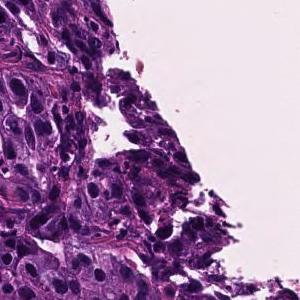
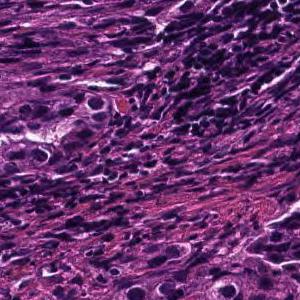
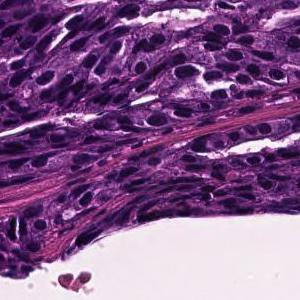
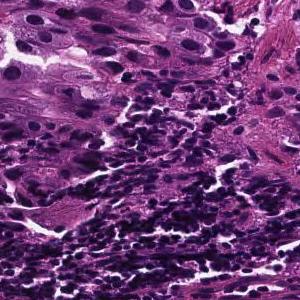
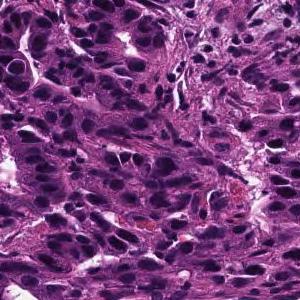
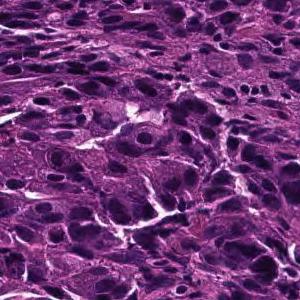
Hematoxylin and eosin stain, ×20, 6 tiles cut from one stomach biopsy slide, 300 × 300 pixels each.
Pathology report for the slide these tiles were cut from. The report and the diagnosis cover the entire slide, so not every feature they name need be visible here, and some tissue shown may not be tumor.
Tumor tissue consisting of medium-sized, cord-like or irregular glandular fusion and infiltration is observed in the superficial epithelium. Poorly differentiated adenocarcinoma, non-solid type or moderately differentiated tubular adenocarcinoma
Tumor subtype: moderately to poorly differentiated adenocarcinoma.
The non-solid type named here is a Japanese Classification of Gastric Carcinoma category.
